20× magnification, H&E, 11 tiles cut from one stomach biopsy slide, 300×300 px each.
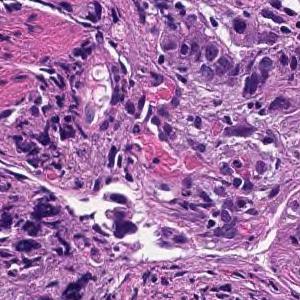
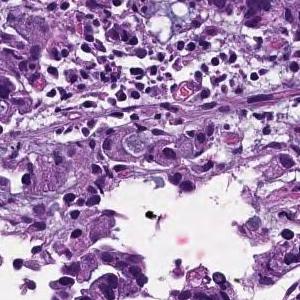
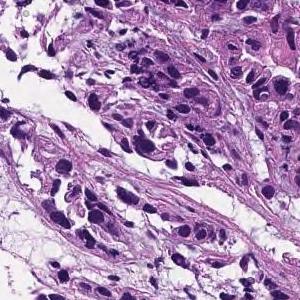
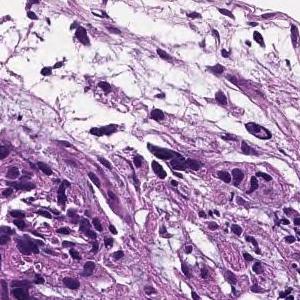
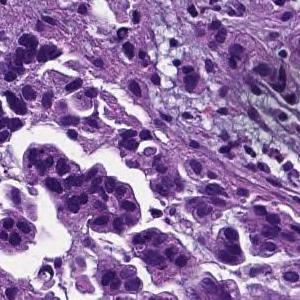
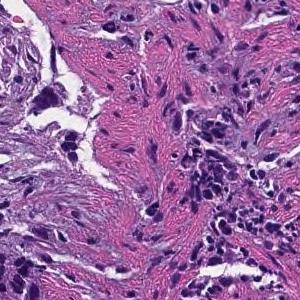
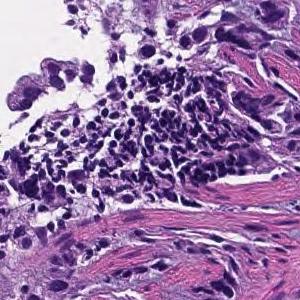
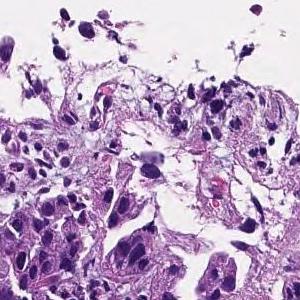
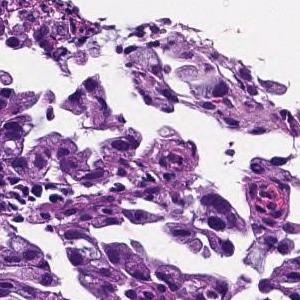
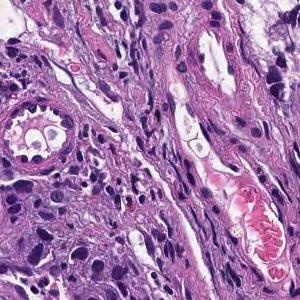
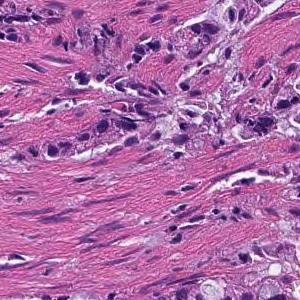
Diagnostic report for the slide these tiles come from. What the report and the diagnosis say applies to the whole slide; these tiles may miss some of the features named and may include tissue that is not tumor.
Tumor tissue consisting of medium-sized, cord-like or irregular glandular infiltration is observed in the superficial epithelium. Poorly differentiated adenocarcinoma, non-solid type or moderately differentiated tubular adenocarcinoma
Histologic type: Moderately to poorly differentiated adenocarcinoma.
The non-solid type named here is a Japanese Classification of Gastric Carcinoma category.
